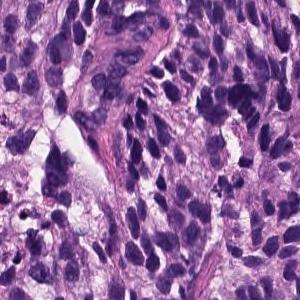
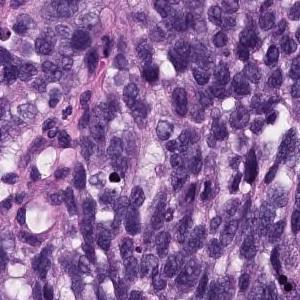
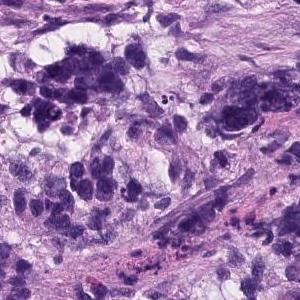
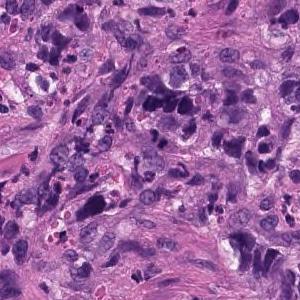
4 tiles cut from one stomach biopsy slide; 300×300 px each; hematoxylin and eosin stain.
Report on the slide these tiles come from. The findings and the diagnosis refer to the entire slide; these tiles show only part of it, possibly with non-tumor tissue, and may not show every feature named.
Atypical l cells with atypical nuclei under the mucosa growing in isolation and scattered. Poorly differentiated adenocarcinoma (poorly differentiated adenocarcinoma, non-solid type)
Subtype: Poorly differentiated adenocarcinoma, non-solid type.
The non-solid type named here is a Japanese Classification of Gastric Carcinoma category.
